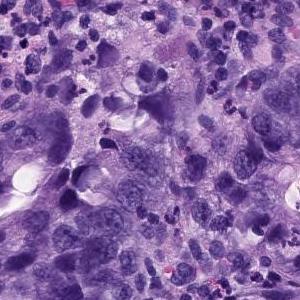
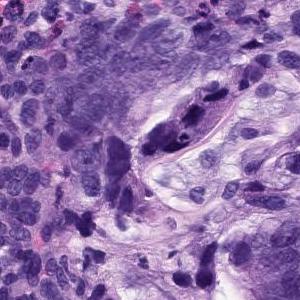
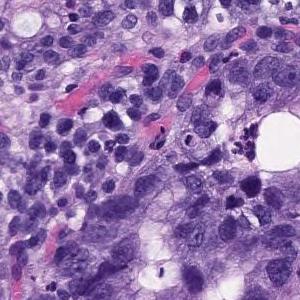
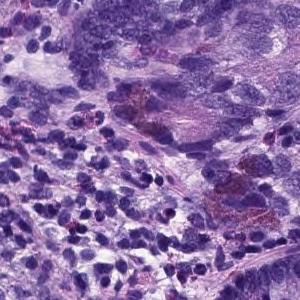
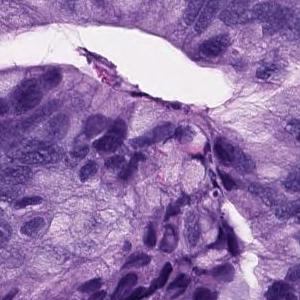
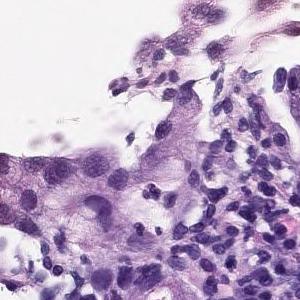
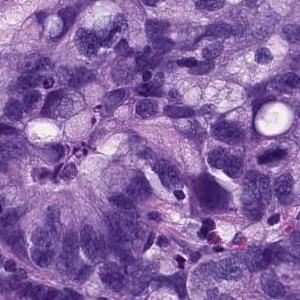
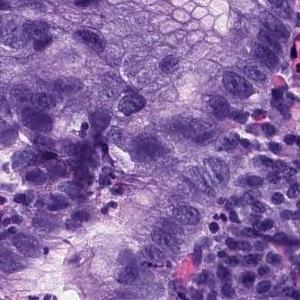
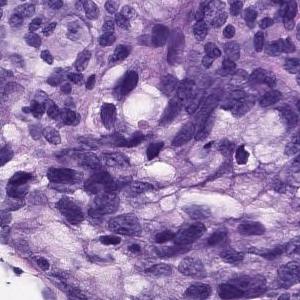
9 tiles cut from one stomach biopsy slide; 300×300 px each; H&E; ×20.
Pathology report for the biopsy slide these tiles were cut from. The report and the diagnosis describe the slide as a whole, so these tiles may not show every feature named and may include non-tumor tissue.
There are large atypical epithelial cells infiltrating and proliferating while forming atypical glandular cavities showing a fusion tendency. Moderately differentiated tubular adenocarcinoma.
